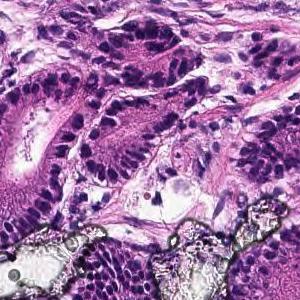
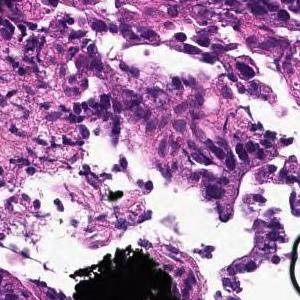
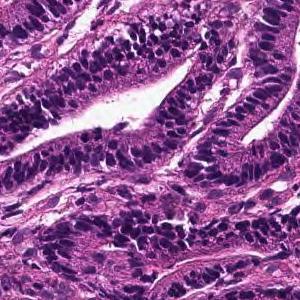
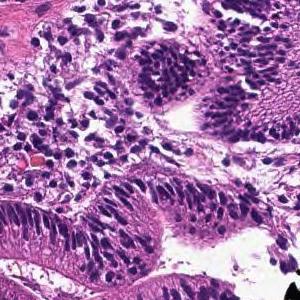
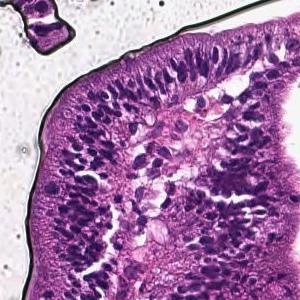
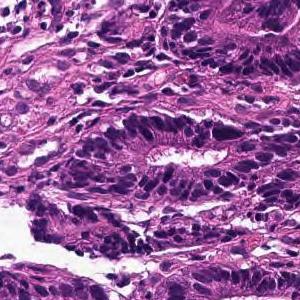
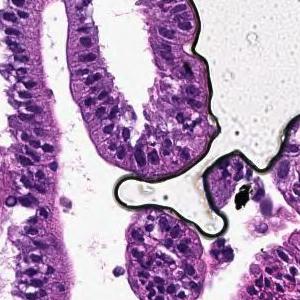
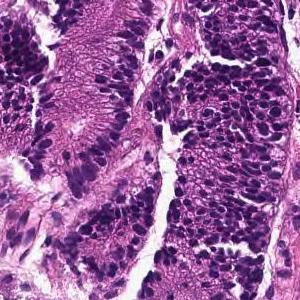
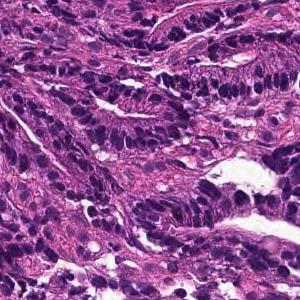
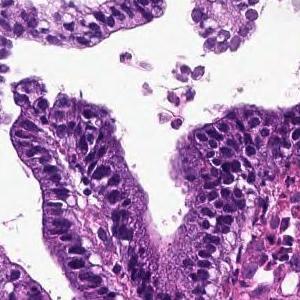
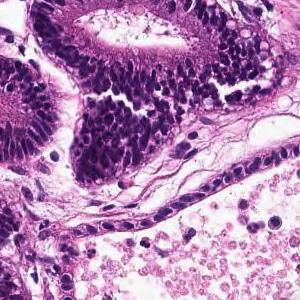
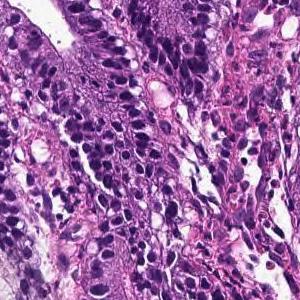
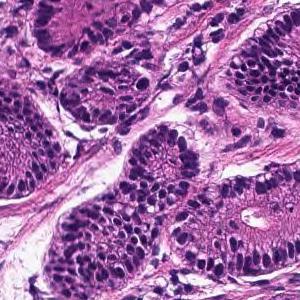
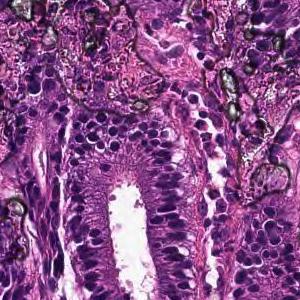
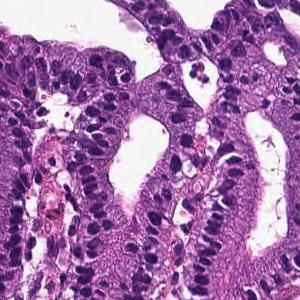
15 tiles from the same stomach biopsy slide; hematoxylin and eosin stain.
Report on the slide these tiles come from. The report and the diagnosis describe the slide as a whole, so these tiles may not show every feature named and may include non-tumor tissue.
On the superficial epithelium, tumor tissue that infiltrates by forming medium-sized round or small irregular ducts is observed. Papillary adenocarcinoma
